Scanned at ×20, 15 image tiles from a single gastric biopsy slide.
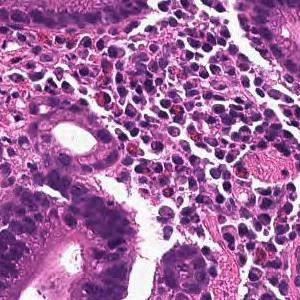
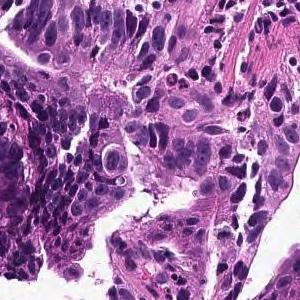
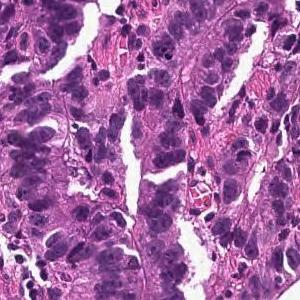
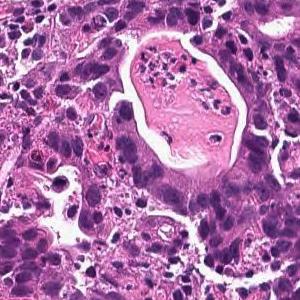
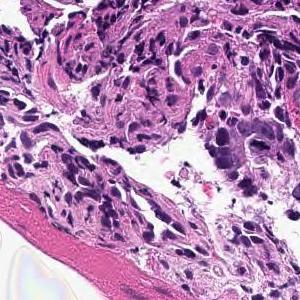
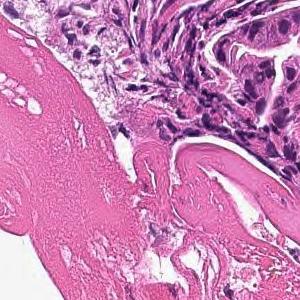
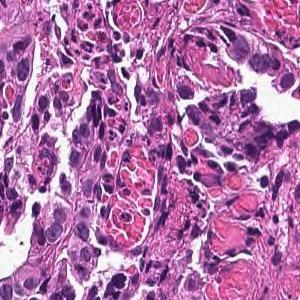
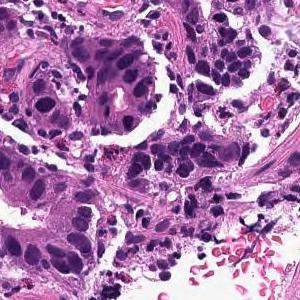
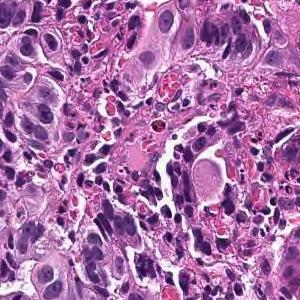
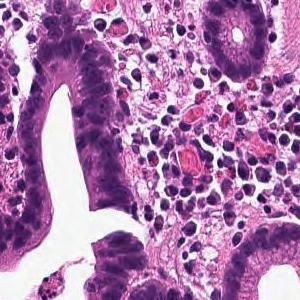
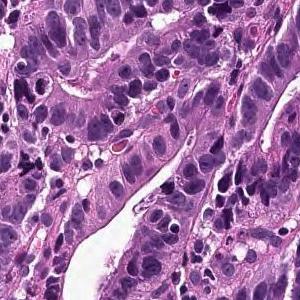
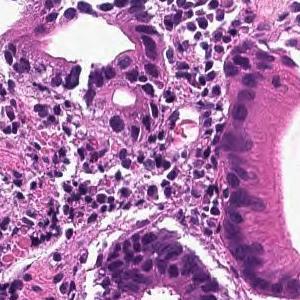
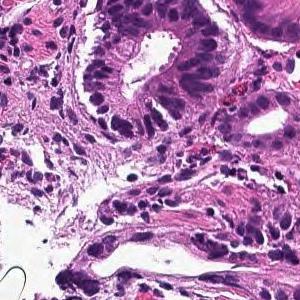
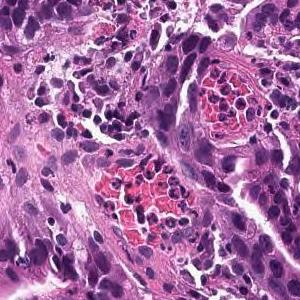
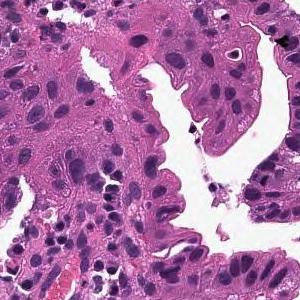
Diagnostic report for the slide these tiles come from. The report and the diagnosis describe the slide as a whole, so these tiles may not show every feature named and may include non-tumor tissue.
On the superficial epithelium, tumor tissue consisting of large, irregular glandular ducts partially fused and infiltrated is observed. Well to moderately differentiated tubular adenocarcinoma (well differentiated tubular adenocarcinoma, moderately differentiated tubular adenocarcinoma)
Histologic type: Well to moderately differentiated tubular adenocarcinoma.
